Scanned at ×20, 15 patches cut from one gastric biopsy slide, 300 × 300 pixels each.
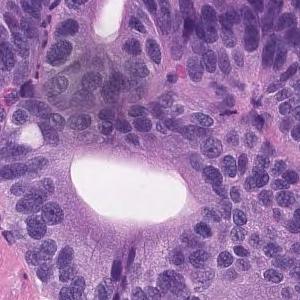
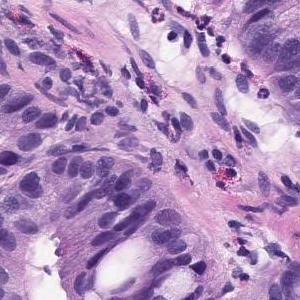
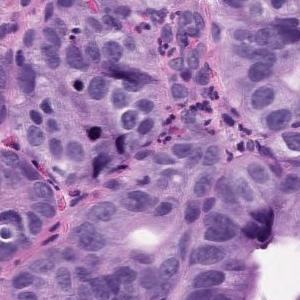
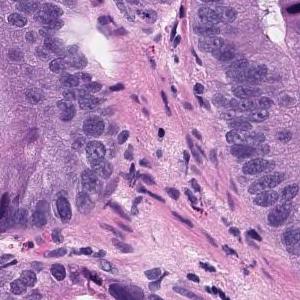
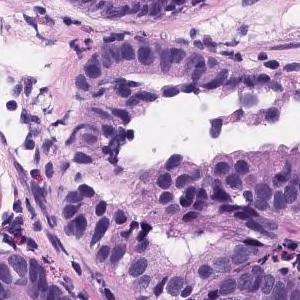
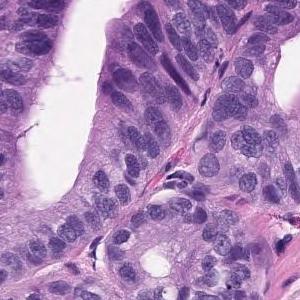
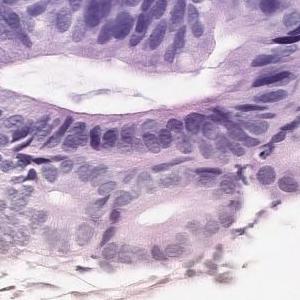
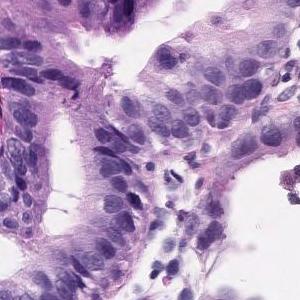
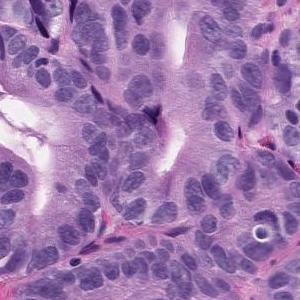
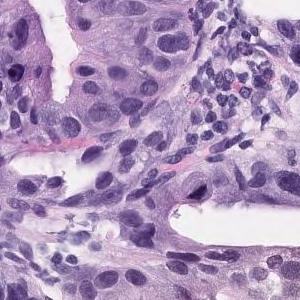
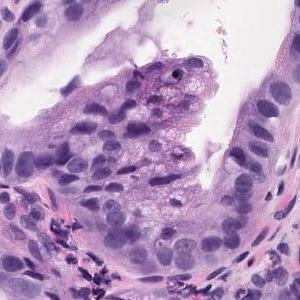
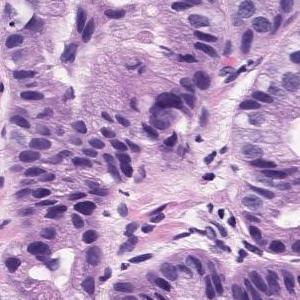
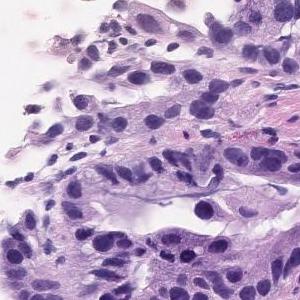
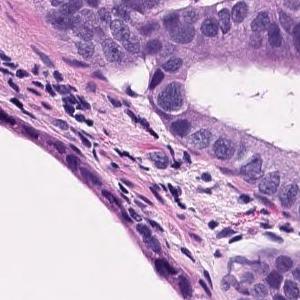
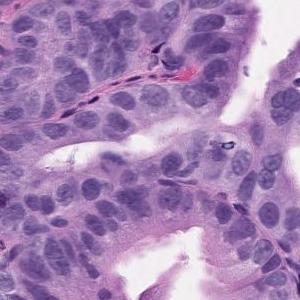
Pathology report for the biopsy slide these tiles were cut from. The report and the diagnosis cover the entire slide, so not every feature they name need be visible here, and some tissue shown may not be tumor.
Tumor tissue consisting of medium-sized and irregular ducts is observed infiltrating in the superficial epithelium. Tumor cells are highly columnar, with nuclei aligned basolaterally and polarized. Well differentiated tubular adenocarcinoma.
